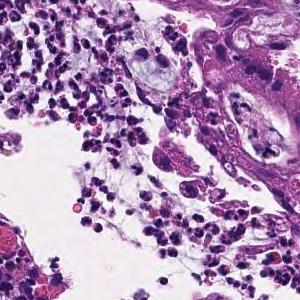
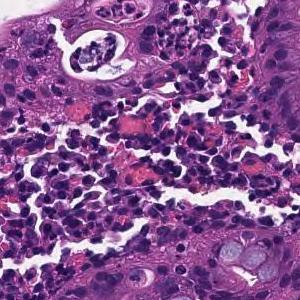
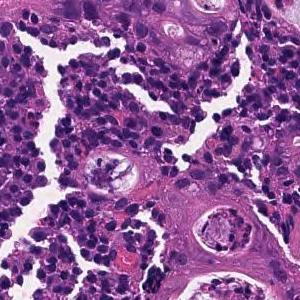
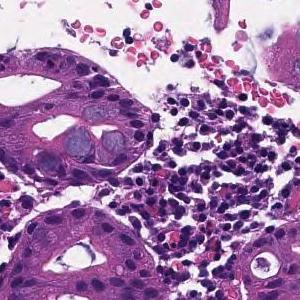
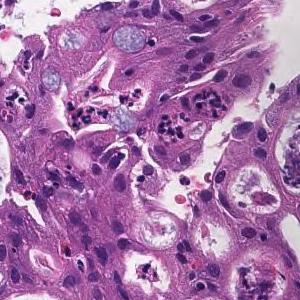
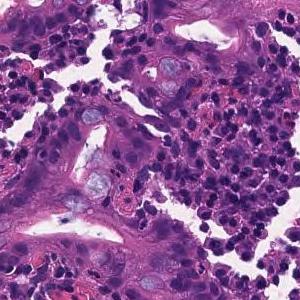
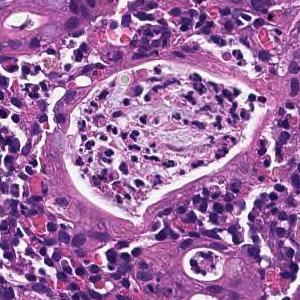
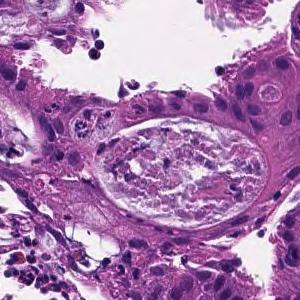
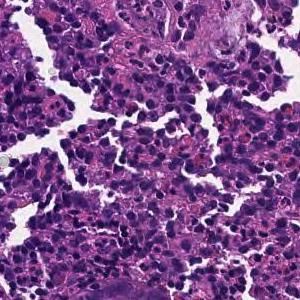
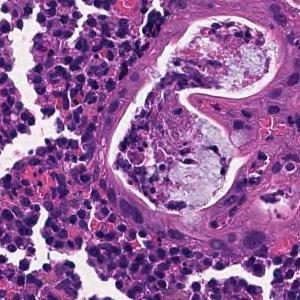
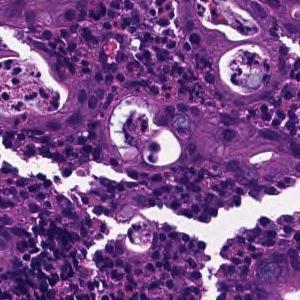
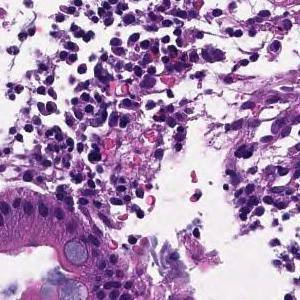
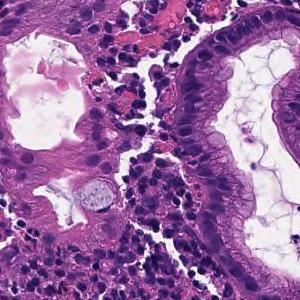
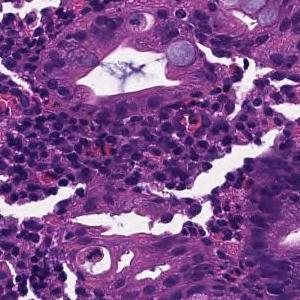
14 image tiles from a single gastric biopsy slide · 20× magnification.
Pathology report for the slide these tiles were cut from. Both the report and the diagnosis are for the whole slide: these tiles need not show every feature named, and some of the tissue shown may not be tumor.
In the superficial epithelium, tumor tissue that invades by forming medium-sized to small, irregular ducts is observed. moderately differentiated tubular adenocarcinoma.
